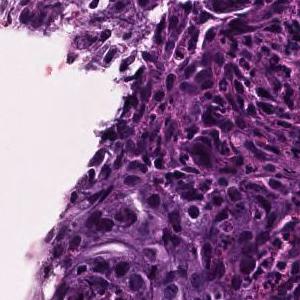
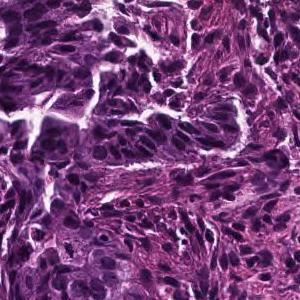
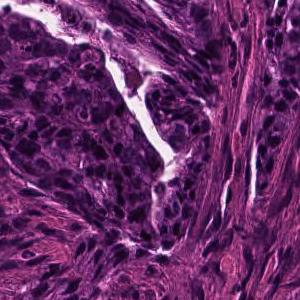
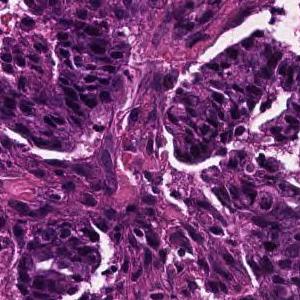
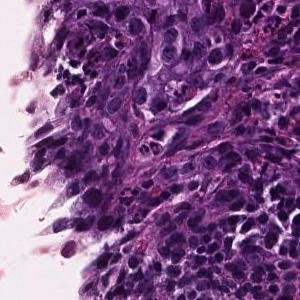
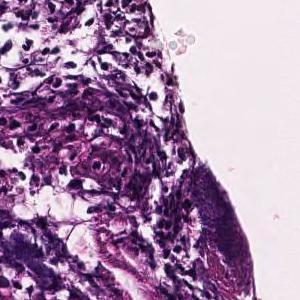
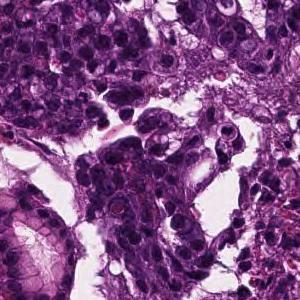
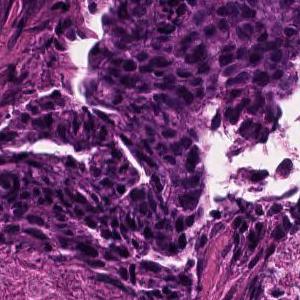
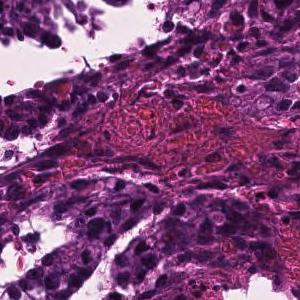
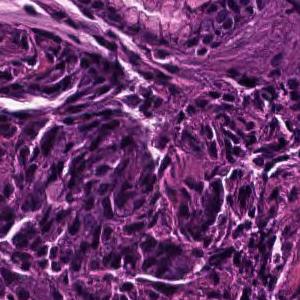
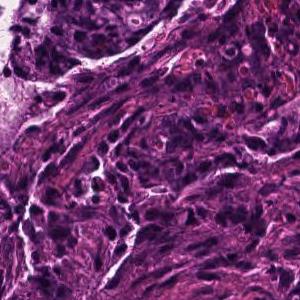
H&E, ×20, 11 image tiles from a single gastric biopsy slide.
Pathology report for the biopsy slide these tiles were cut from. Both the report and the diagnosis are for the whole slide: these tiles need not show every feature named, and some of the tissue shown may not be tumor.
Tumor tissue consisting of medium-sized, cord-like or irregular glandular infiltration is observed in the superficial epithelium. Poorly differentiated adenocarcinoma, non-solid type or moderately differentiated tubular adenocarcinoma
Histological subtype: Moderately to poorly differentiated adenocarcinoma.
"Non-solid type" is a category of the Japanese Classification of Gastric Carcinoma.
